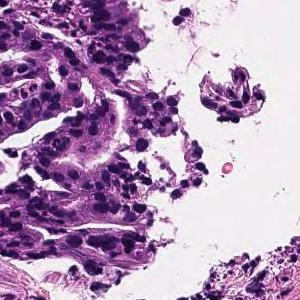
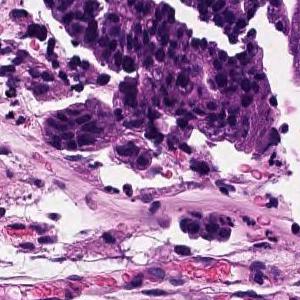
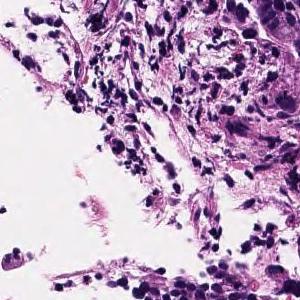
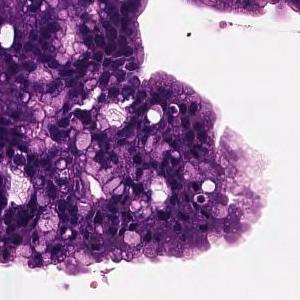
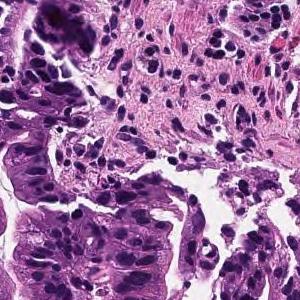
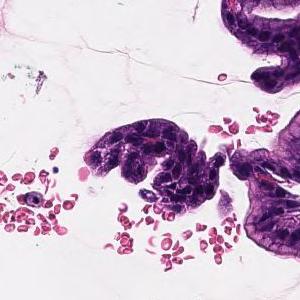
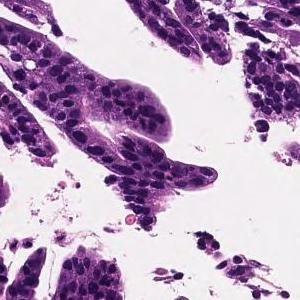
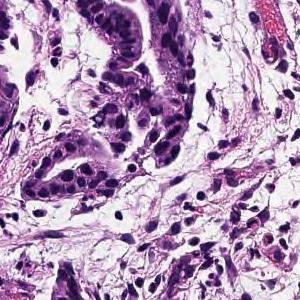
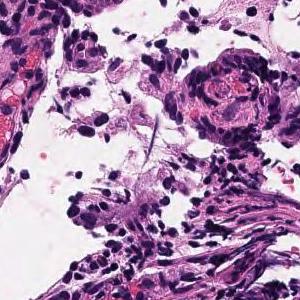
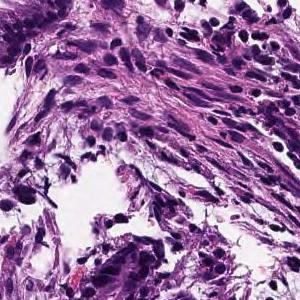
Hematoxylin and eosin stain, 20× magnification, 10 patches cut from one gastric biopsy slide, 300 × 300 pixels each.
Diagnostic report for the slide these tiles come from. The findings and the diagnosis refer to the entire slide; these tiles show only part of it, possibly with non-tumor tissue, and may not show every feature named.
On the superficial epithelium, tumor tissue that infiltrates by forming medium-sized papillary or small irregular ducts is observed. Papillary adenocarcinoma
